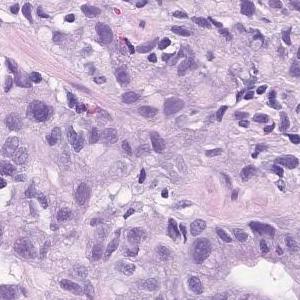
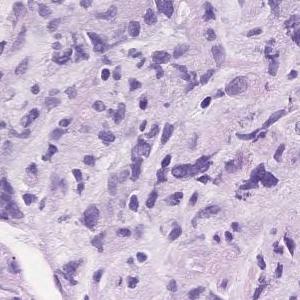
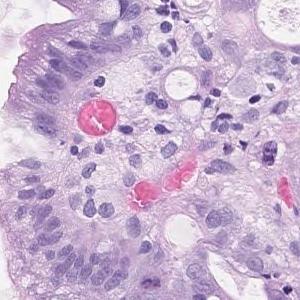
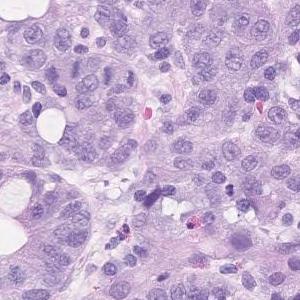
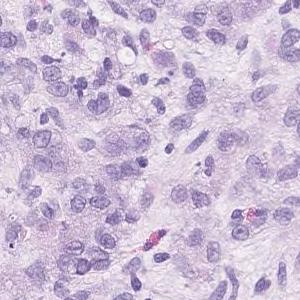
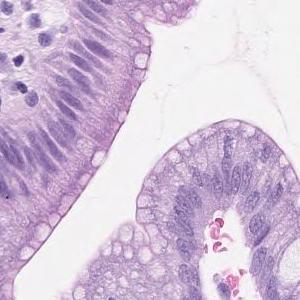
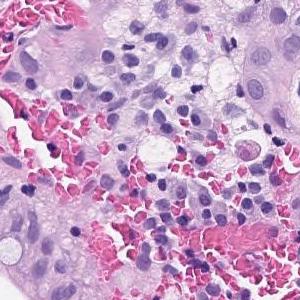
7 patches cut from one gastric biopsy slide, 300×300 px each, 20× magnification, hematoxylin and eosin stain.
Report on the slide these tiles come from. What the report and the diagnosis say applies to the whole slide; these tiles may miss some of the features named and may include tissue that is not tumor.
Group 5, Adenocarcinoma. Poorly differentiated adenocarcinoma, non-solid type
"Non-solid type" is a category of the Japanese Classification of Gastric Carcinoma.
